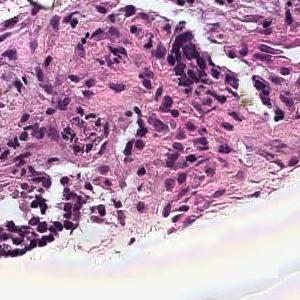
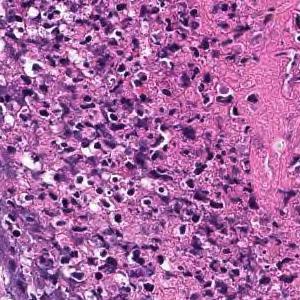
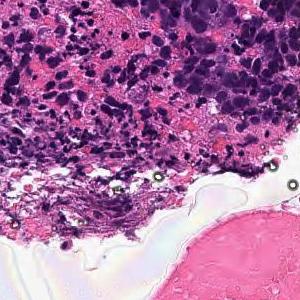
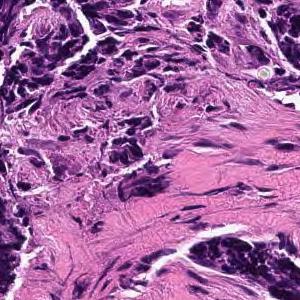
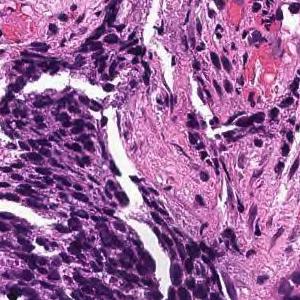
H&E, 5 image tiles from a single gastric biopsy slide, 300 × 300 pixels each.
The pathologist's report on the biopsy slide these tiles were taken from. Both the report and the diagnosis are for the whole slide: these tiles need not show every feature named, and some of the tissue shown may not be tumor.
The superficial epithelium shows a large sheet or alveolar shape, and tumor tissue infiltrating without irregular ducts is observed. Poorly differentiated adenocarcinoma, solid-type
Tumor subtype: poorly differentiated adenocarcinoma, solid type, a category of the Japanese Classification of Gastric Carcinoma; in the WHO 2019 classification it is tubular adenocarcinoma, poorly differentiated.
